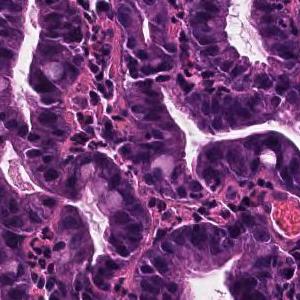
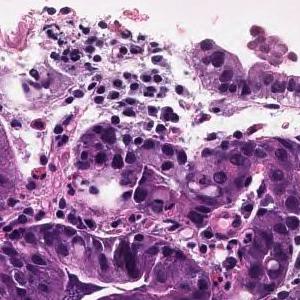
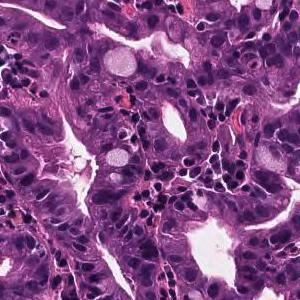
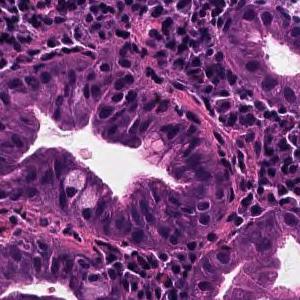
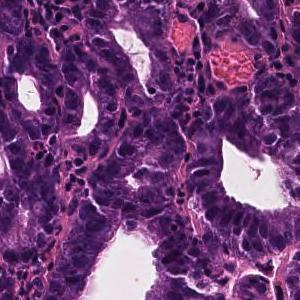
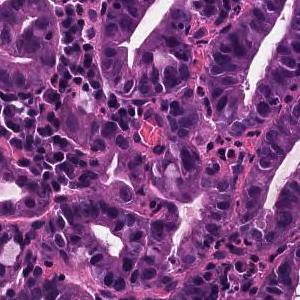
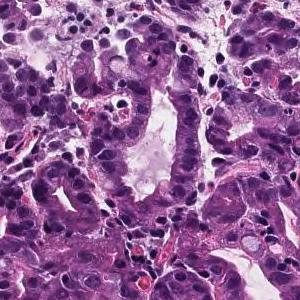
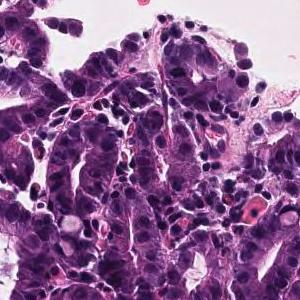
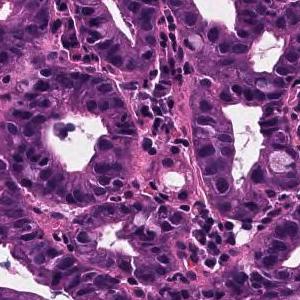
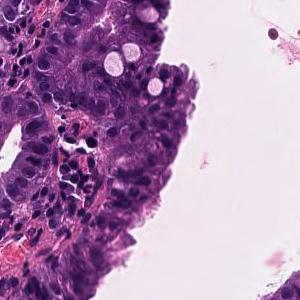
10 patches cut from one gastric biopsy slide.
Pathology report for the biopsy slide these tiles were cut from. Both the report and the diagnosis are for the whole slide: these tiles need not show every feature named, and some of the tissue shown may not be tumor.
Atypical tubular proliferation of well to moderately differentiated gastric gland with hyperchromatic nuclei and high N:C ratio. Mitotic figures were also present. These histological findings were suggestive of well to moderately differentiated tubular adenocarcinoma (well differentiated tubular adenocarcinoma, moderately differentiated tubular adenocarcinoma).
Labeled in the dataset as well differentiated tubular adenocarcinoma.
